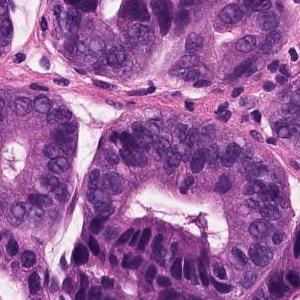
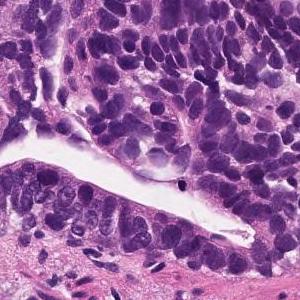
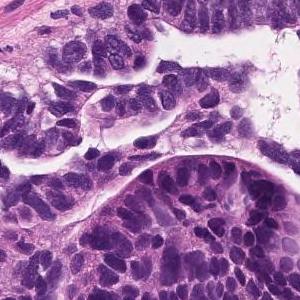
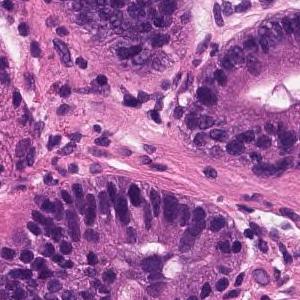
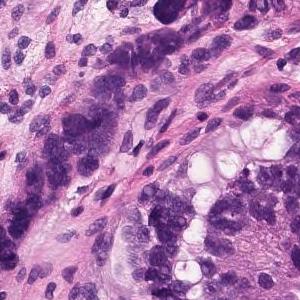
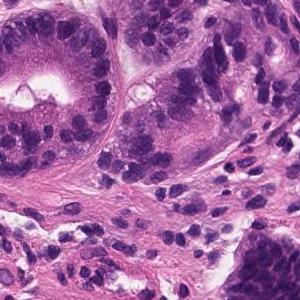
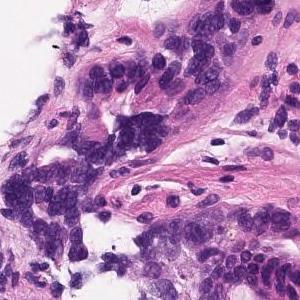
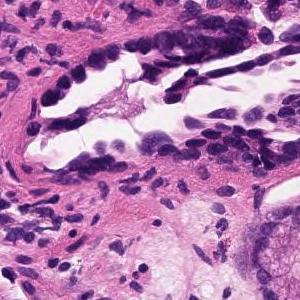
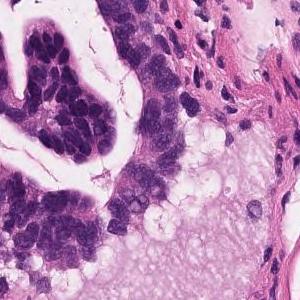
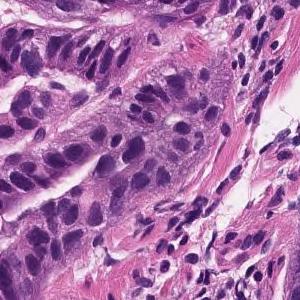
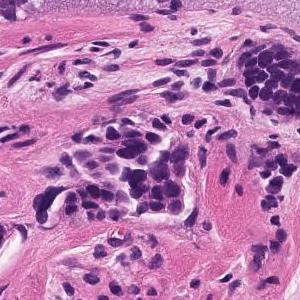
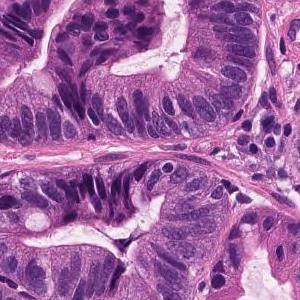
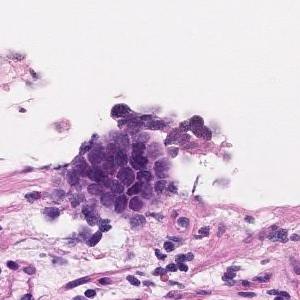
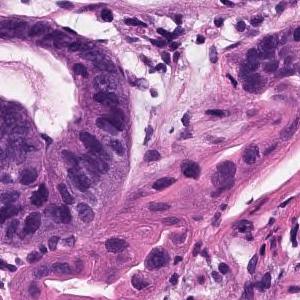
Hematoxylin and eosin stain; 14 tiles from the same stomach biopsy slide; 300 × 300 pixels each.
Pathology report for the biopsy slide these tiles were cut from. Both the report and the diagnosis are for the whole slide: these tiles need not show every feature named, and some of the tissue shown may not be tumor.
Atypical epithelium with tight nuclei shows irregular or sieving duct construction and proliferates. Well to moderately differentiated tubular adenocarcinoma (well differentiated tubular adenocarcinoma-moderately differentiated tubular adenocarcinoma)
Classified as well to moderately differentiated tubular adenocarcinoma.
